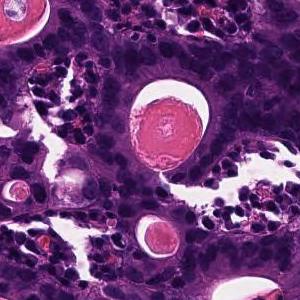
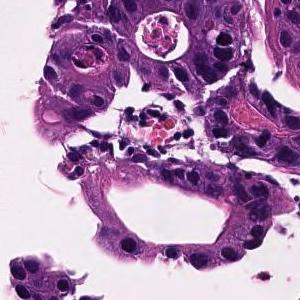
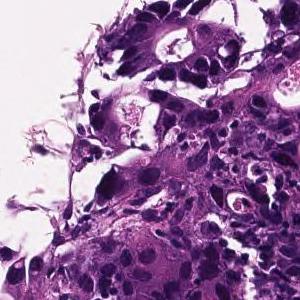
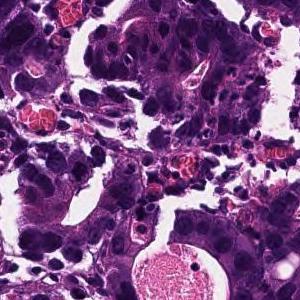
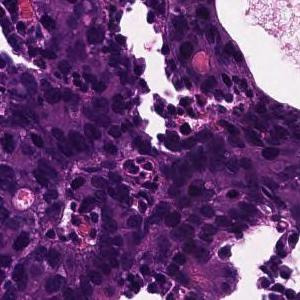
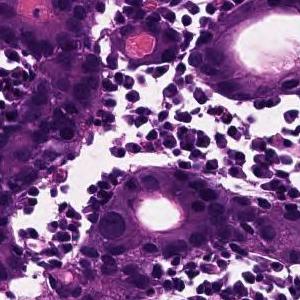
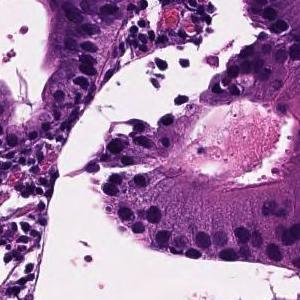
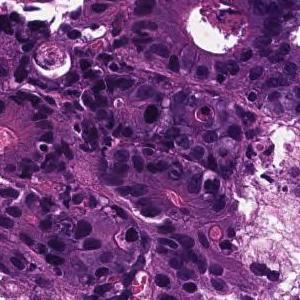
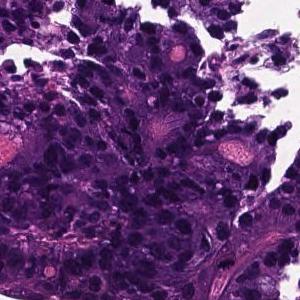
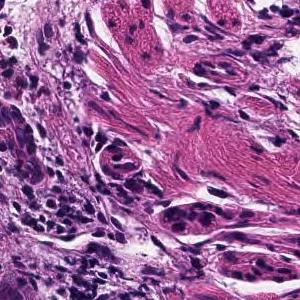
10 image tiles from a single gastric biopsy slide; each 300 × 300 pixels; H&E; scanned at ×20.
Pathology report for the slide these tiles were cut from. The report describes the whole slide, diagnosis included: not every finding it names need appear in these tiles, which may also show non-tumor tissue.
From the superficial epithelium to the muscularis mucosae, tumor tissue infiltrating by forming medium-sized irregular gland ducts is observed. Large tumor cells exhibit large nucleus and hyperchromatism. Well differentiated tubular adenocarcinoma
